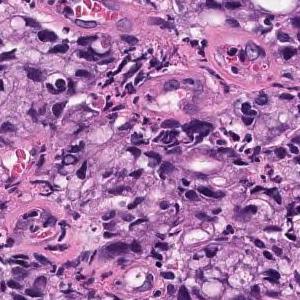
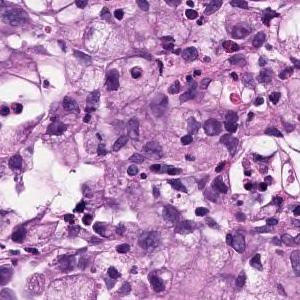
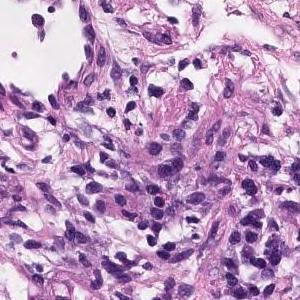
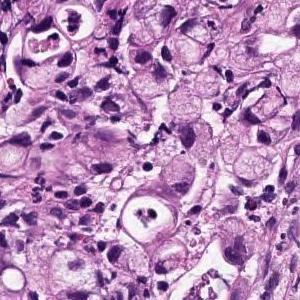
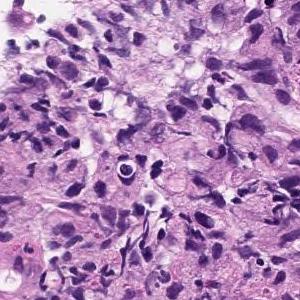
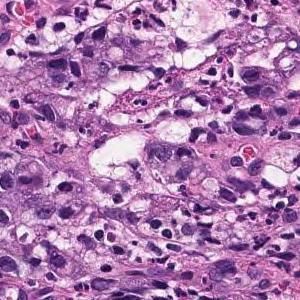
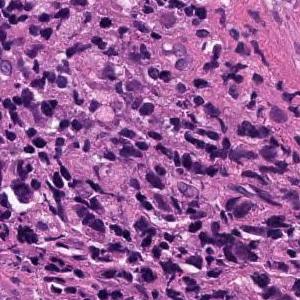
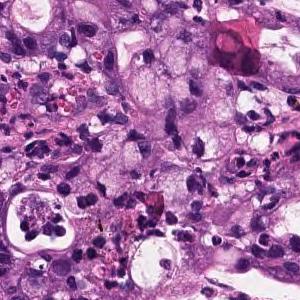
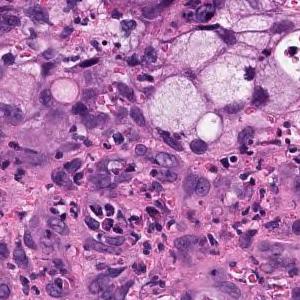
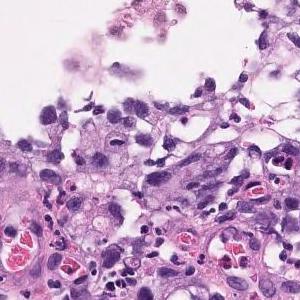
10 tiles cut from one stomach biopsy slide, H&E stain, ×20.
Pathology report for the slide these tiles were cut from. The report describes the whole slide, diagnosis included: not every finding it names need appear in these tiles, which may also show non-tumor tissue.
Atypical epithelium forms irregularly fused gland ducts and proliferates. Poorly differentiated adenocarcinoma.
Subtype: Poorly differentiated adenocarcinoma, non-solid type.
"Non-solid type" is a category of the Japanese Classification of Gastric Carcinoma.
